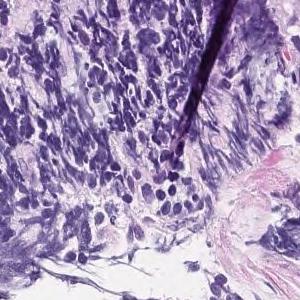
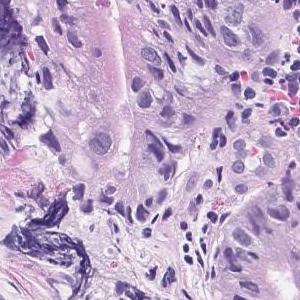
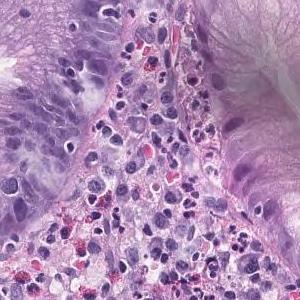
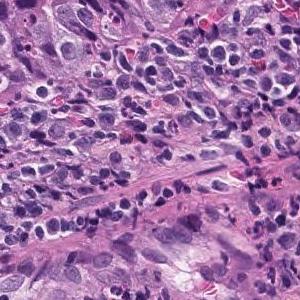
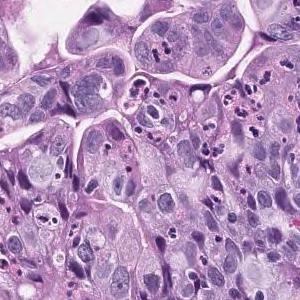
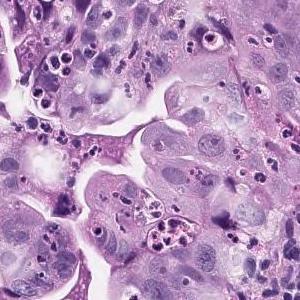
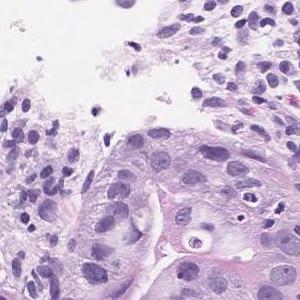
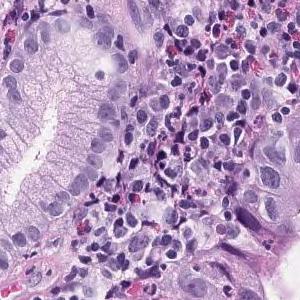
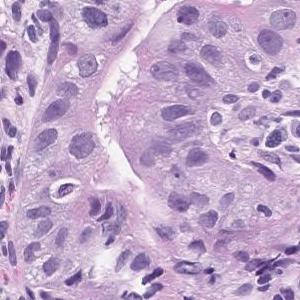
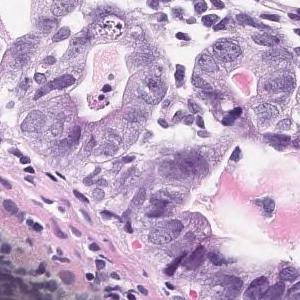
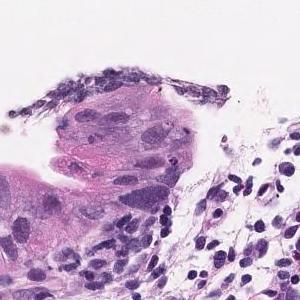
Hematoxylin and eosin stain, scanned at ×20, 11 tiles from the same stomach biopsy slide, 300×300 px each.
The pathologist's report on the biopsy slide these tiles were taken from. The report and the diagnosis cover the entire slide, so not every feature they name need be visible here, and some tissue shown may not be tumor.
Atypical epithelium replaces superficial epithelium or localized ducts, or grows while forming irregular ducts. Well differentiated tubular adenocarcinoma
